20× magnification, H&E stain, 11 image tiles from a single gastric biopsy slide, 300×300 px each.
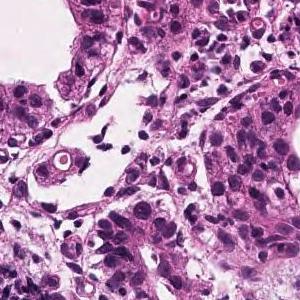
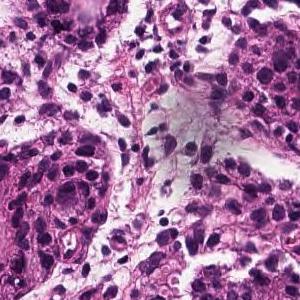
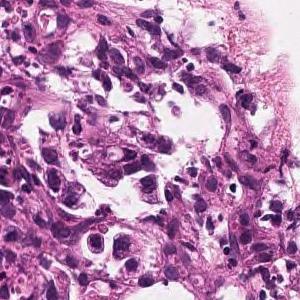
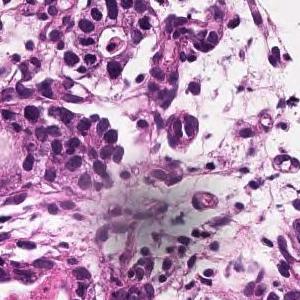
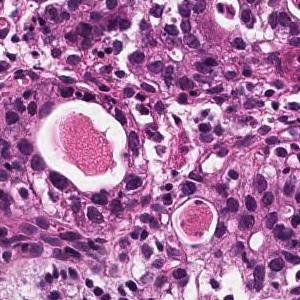
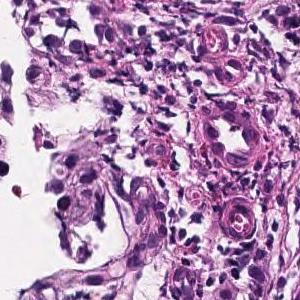
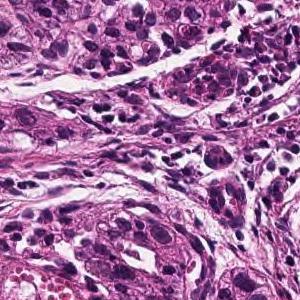
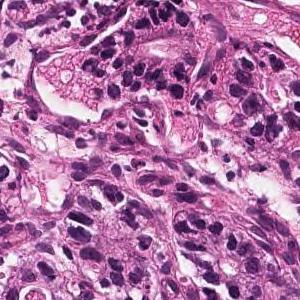
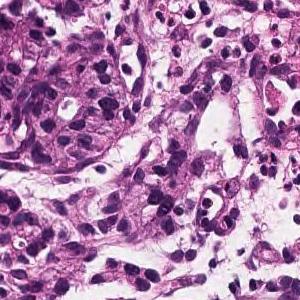
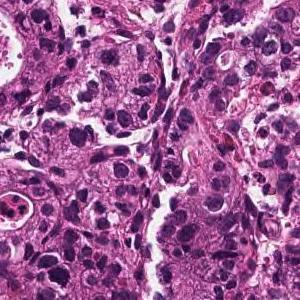
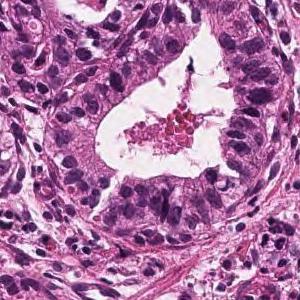
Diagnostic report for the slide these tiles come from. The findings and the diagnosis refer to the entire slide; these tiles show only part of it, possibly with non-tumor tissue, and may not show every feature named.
Tumor tissue consisting of medium-sized and irregular ducts is observed infiltrating in the superficial epithelium. Tumor cells are highly columnar, with nuclei aligned basolaterally and polarized. Well differentiated tubular adenocarcinoma.
